×20, H&E, 14 tiles cut from one stomach biopsy slide, 300×300 px each.
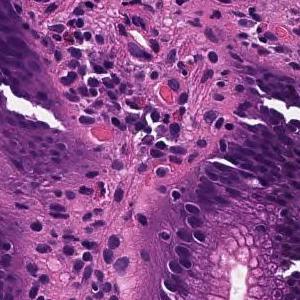
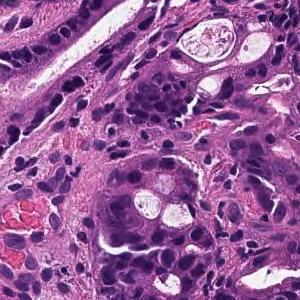
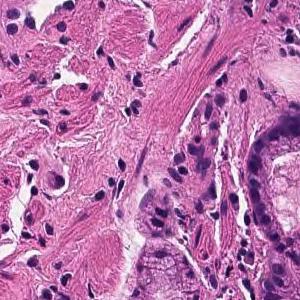
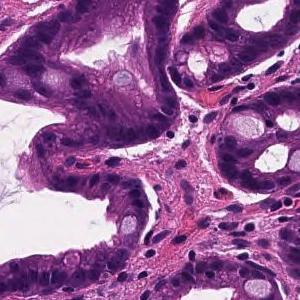
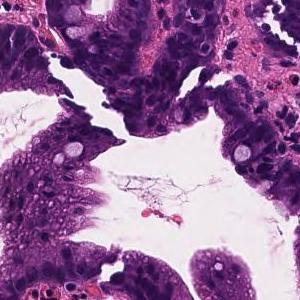
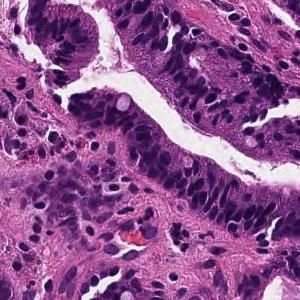
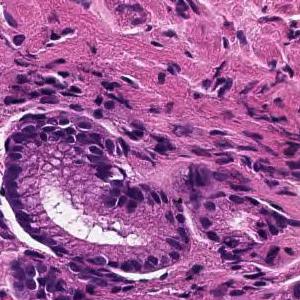
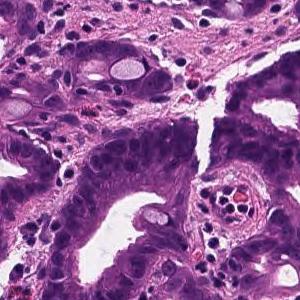
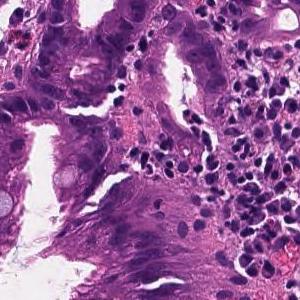
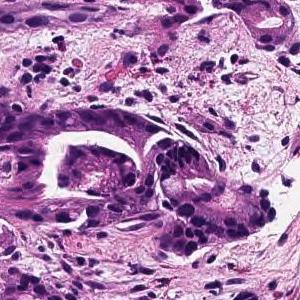
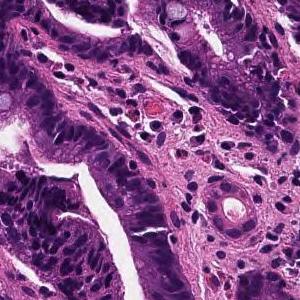
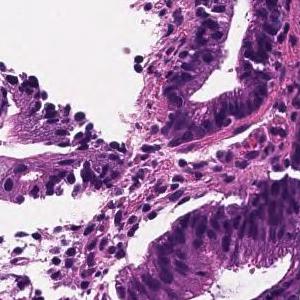
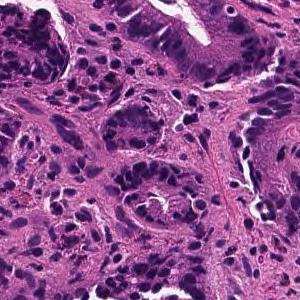
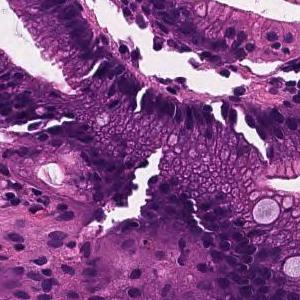
Diagnostic report for the slide these tiles come from. What the report and the diagnosis say applies to the whole slide; these tiles may miss some of the features named and may include tissue that is not tumor.
From the superficial epithelium to the muscularis mucosae, tumor tissue consisting of medium-sized and irregular glandular ducts infiltrating is observed. Well differentiated tubular adenocarcinoma
